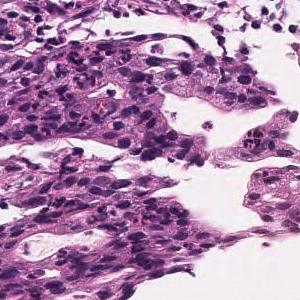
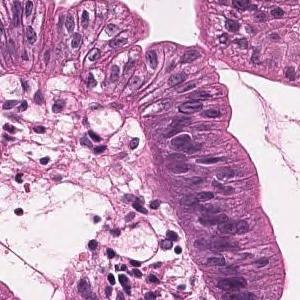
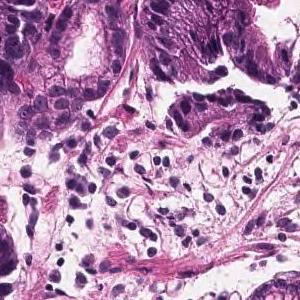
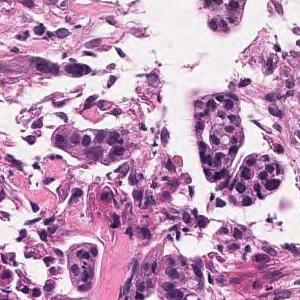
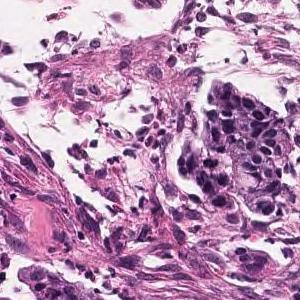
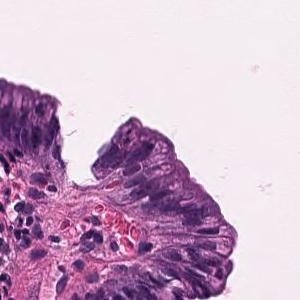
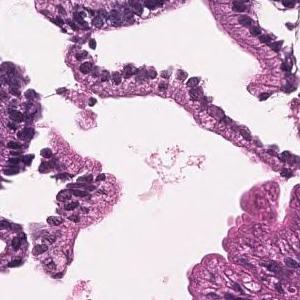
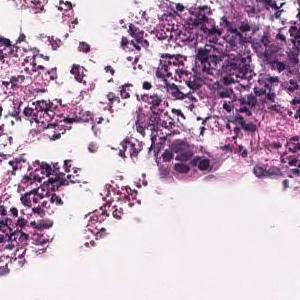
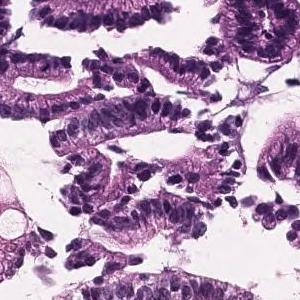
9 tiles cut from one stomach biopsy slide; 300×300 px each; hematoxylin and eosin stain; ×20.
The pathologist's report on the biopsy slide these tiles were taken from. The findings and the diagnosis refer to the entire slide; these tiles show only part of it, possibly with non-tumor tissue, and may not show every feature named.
Tumor tissue that grows invasively while the short atypical epithelium forms small ducts is observed. moderately differentiated tubular adenocarcinoma
